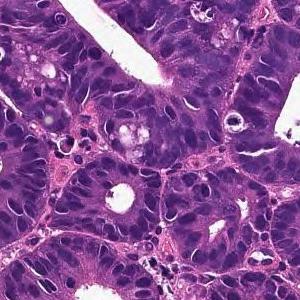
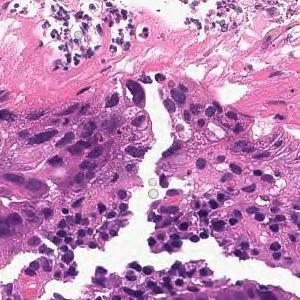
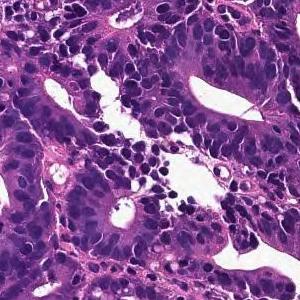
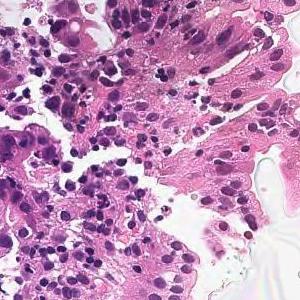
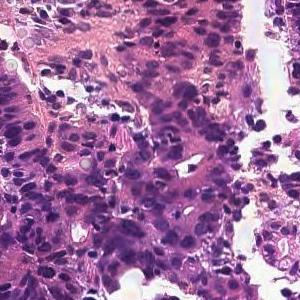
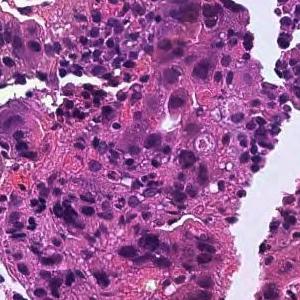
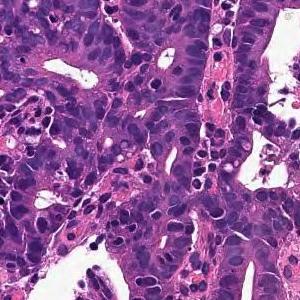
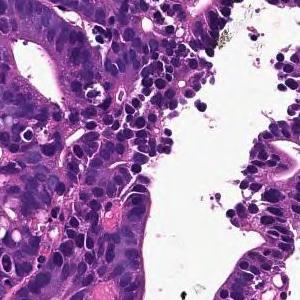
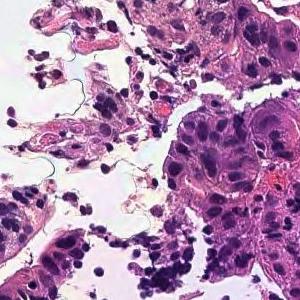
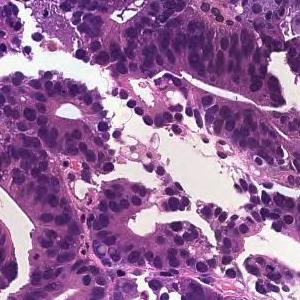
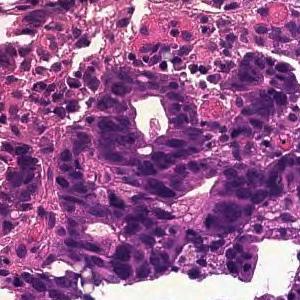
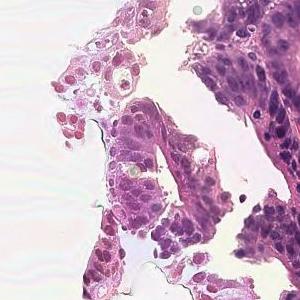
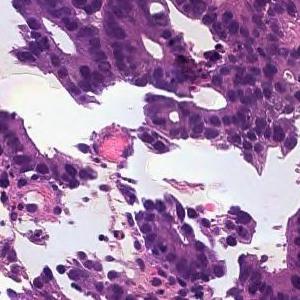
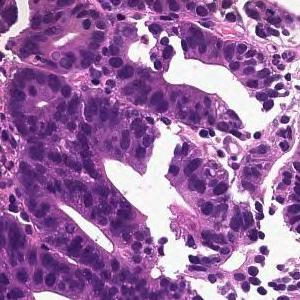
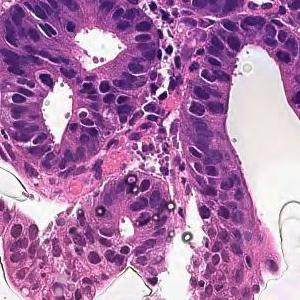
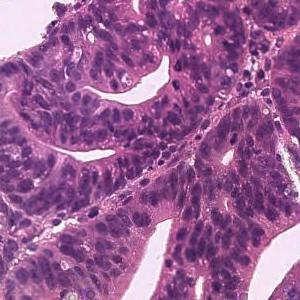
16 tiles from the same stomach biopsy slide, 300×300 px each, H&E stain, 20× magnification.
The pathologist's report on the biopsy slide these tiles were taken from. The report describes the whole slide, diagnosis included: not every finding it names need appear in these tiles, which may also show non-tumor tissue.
On the superficial epithelium, tumor tissue consisting of large irregular glandular ducts partially fused and infiltrated is observed. Well to moderately differentiated tubular adenocarcinoma (well differentiated tubular adenocarcinoma, moderately differentiated tubular adenocarcinoma)
Histologic type: Well to moderately differentiated tubular adenocarcinoma.
